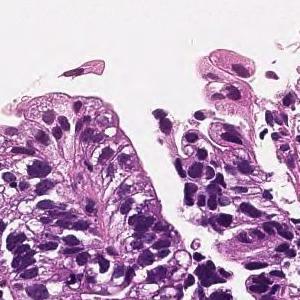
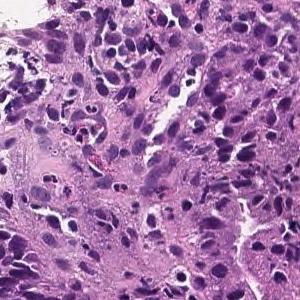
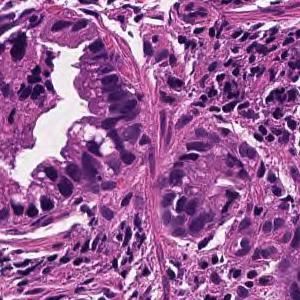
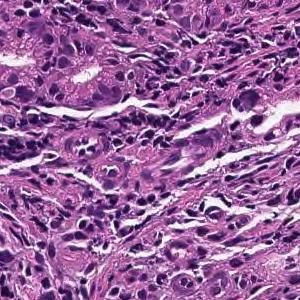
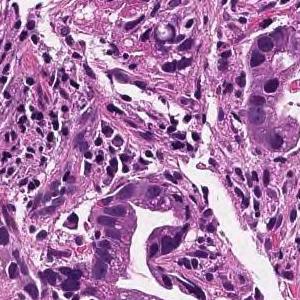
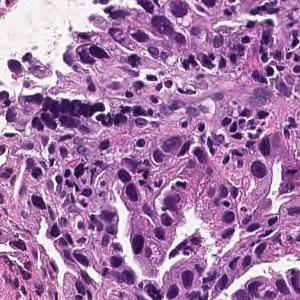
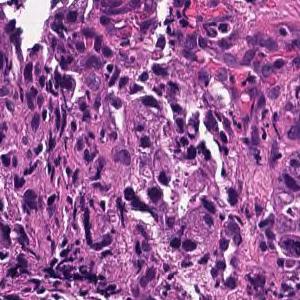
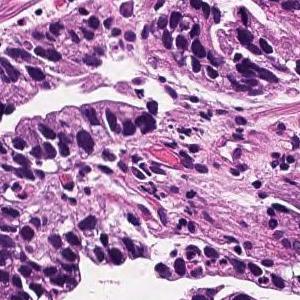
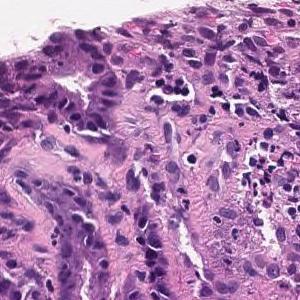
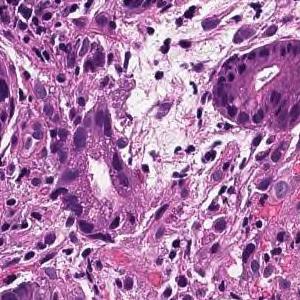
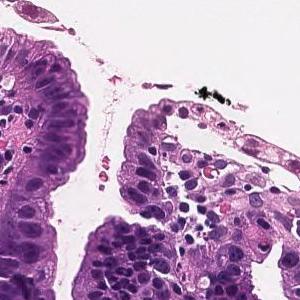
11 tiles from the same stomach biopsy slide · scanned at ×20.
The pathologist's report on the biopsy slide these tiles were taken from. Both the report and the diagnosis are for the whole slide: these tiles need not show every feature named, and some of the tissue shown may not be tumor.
On the superficial epithelium, tumor tissue is found in which medium-sized irregular gland ducts fuse with each other and infiltrate. moderately differentiated tubular adenocarcinoma or Poorly differentiated adenocarcinoma, non-solid type
Subtype: Moderately to poorly differentiated adenocarcinoma.
The term "non-solid type" comes from the Japanese Classification of Gastric Carcinoma.
